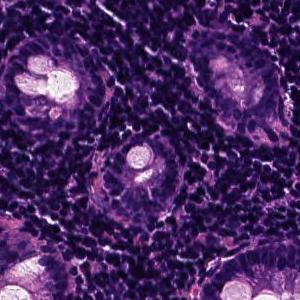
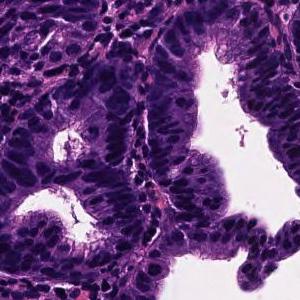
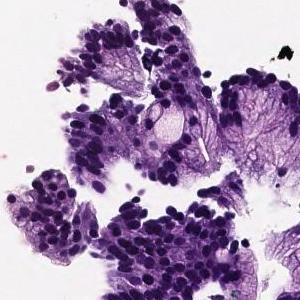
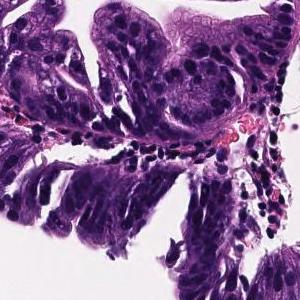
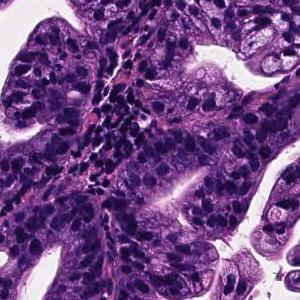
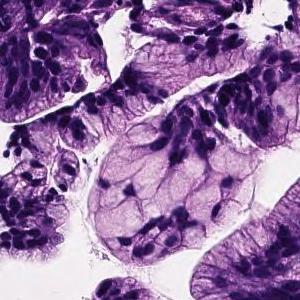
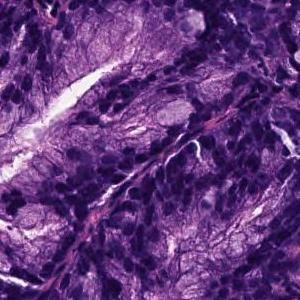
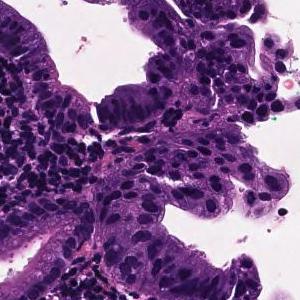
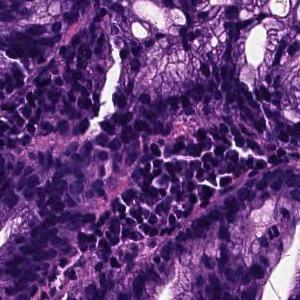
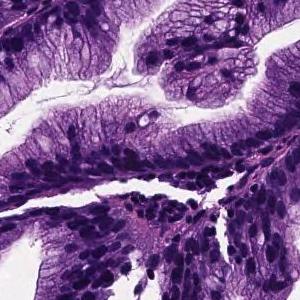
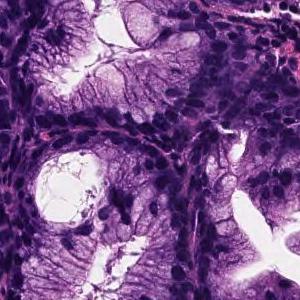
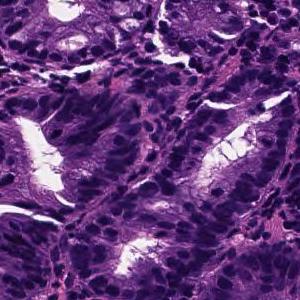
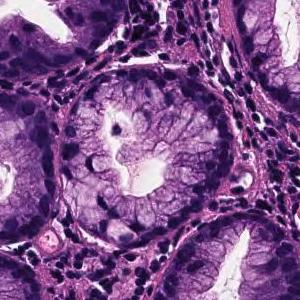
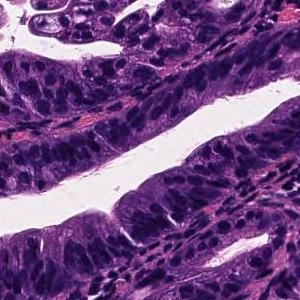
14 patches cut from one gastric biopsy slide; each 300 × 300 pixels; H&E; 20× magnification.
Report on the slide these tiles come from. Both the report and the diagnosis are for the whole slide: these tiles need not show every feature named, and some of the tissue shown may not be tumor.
On the superficial epithelium, tumor tissue that infiltrates by forming medium-sized papillary or small irregular ducts is observed. Papillary adenocarcinoma
